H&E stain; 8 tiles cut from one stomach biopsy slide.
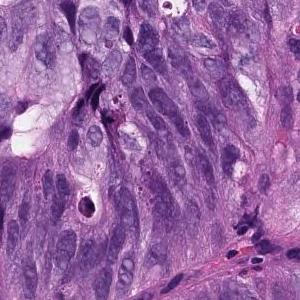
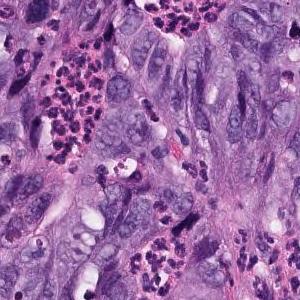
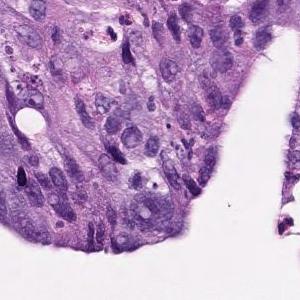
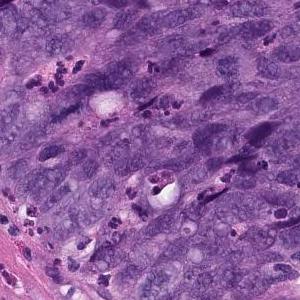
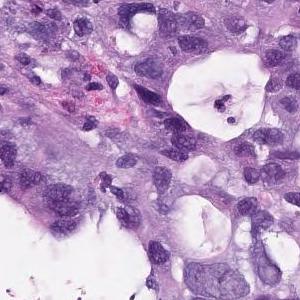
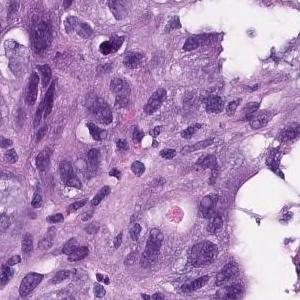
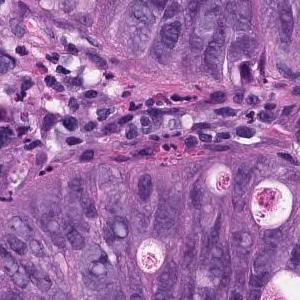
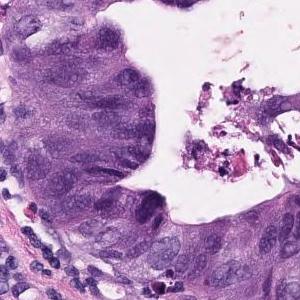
The pathologist's report on the biopsy slide these tiles were taken from. The report and the diagnosis describe the slide as a whole, so these tiles may not show every feature named and may include non-tumor tissue.
In the superficial epithelium, tumor tissue that invades by forming medium-sized to small, irregular ducts is observed. Moderately differentiated adenocarcinoma.
Tumor subtype: moderately differentiated tubular adenocarcinoma.
